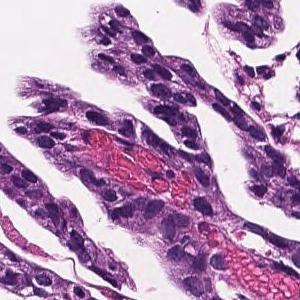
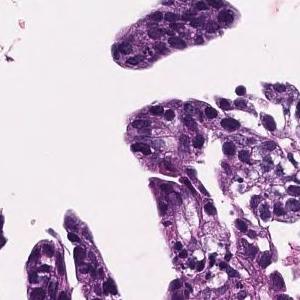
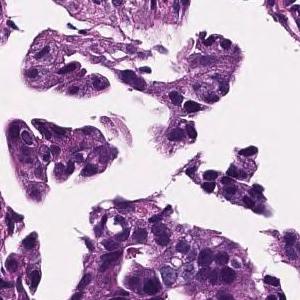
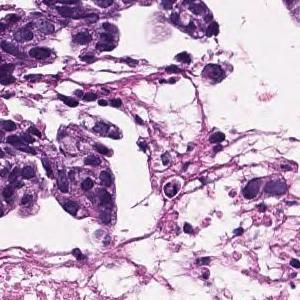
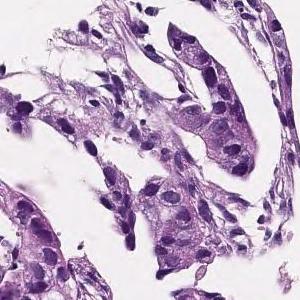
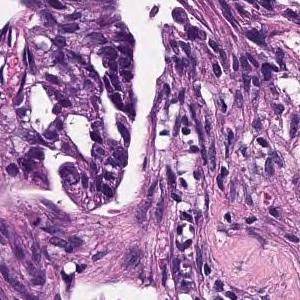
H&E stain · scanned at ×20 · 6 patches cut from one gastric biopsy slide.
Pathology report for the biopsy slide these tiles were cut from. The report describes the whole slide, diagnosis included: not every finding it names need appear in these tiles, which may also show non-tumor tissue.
In the lamina propria, tumor tissue that invades by forming medium-sized to small, irregular glandular ducts is observed. moderately differentiated tubular adenocarcinoma
